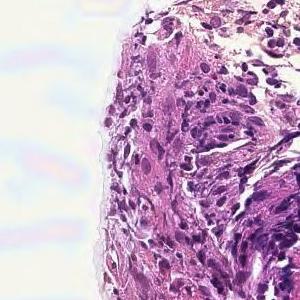
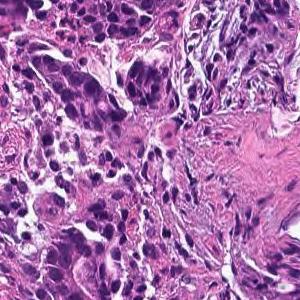
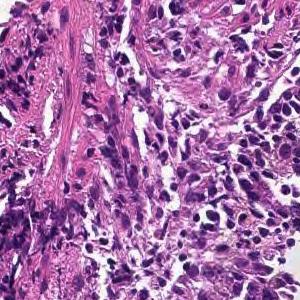
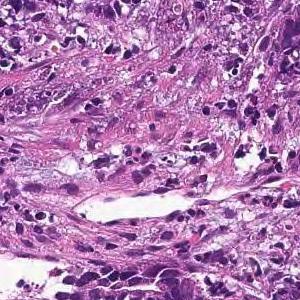
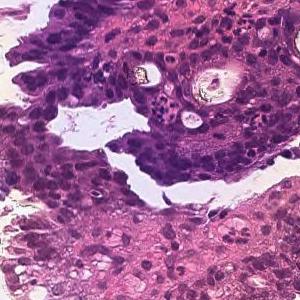
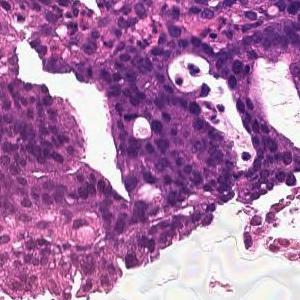
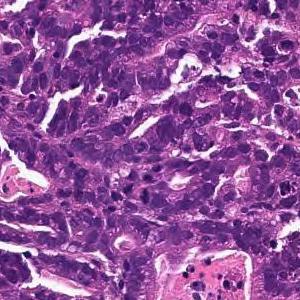
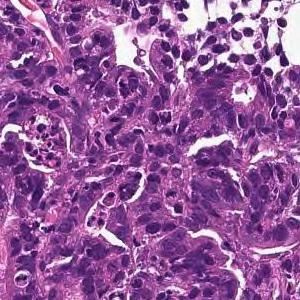
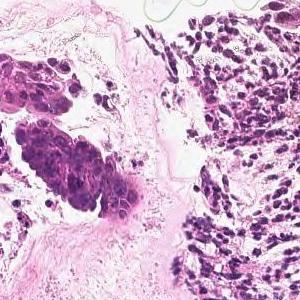
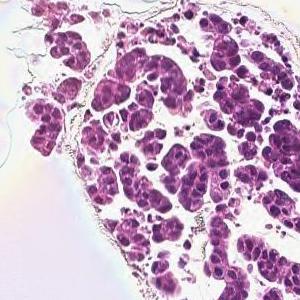
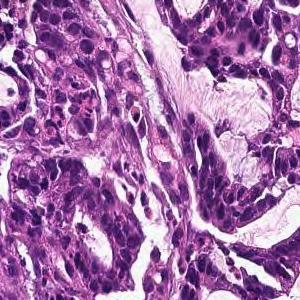
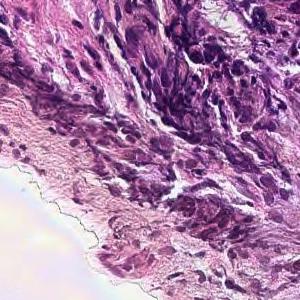
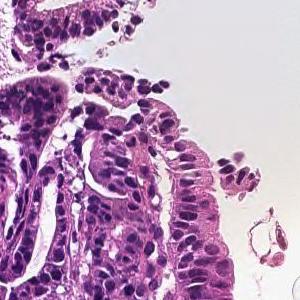
20× magnification, H&E stain, 13 image tiles from a single gastric biopsy slide.
The pathologist's report on the biopsy slide these tiles were taken from. The report and the diagnosis describe the slide as a whole, so these tiles may not show every feature named and may include non-tumor tissue.
In the superficial epithelium, tumor tissue that invades by forming medium-sized to small, irregular ducts is observed. moderately differentiated tubular adenocarcinoma.
